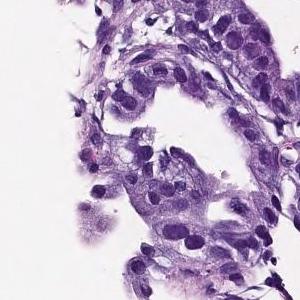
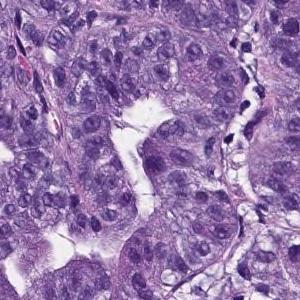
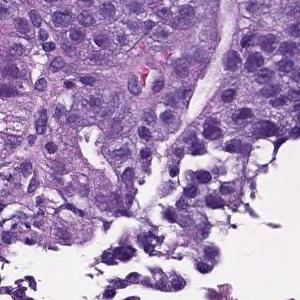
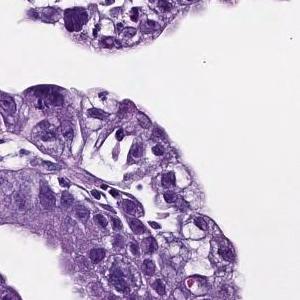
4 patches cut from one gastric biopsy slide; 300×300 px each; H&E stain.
Pathology report for the slide these tiles were cut from. The report and the diagnosis cover the entire slide, so not every feature they name need be visible here, and some tissue shown may not be tumor.
On the superficial epithelium, tumor tissue that infiltrates by forming medium-sized papillary or small irregular ducts is observed. Papillary adenocarcinoma
